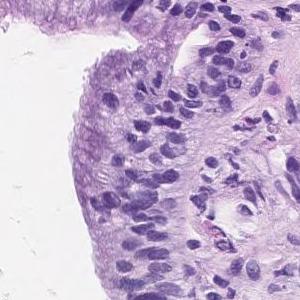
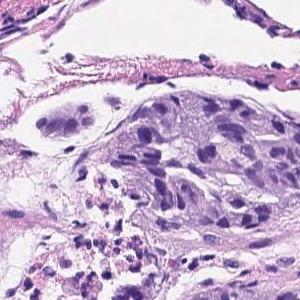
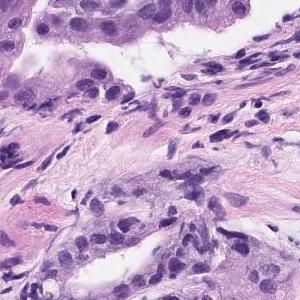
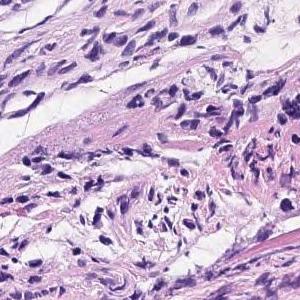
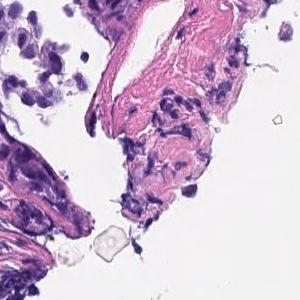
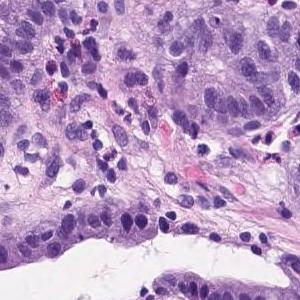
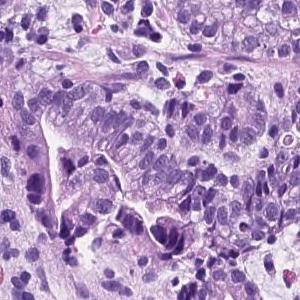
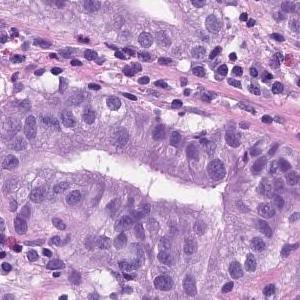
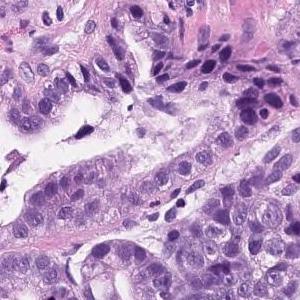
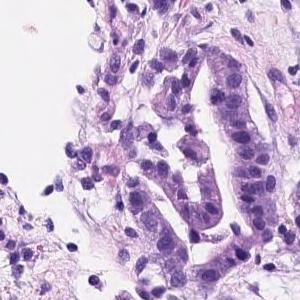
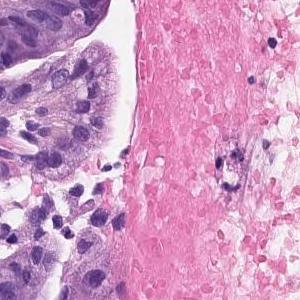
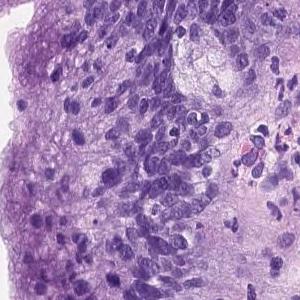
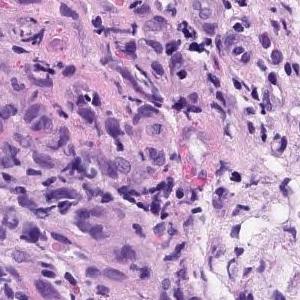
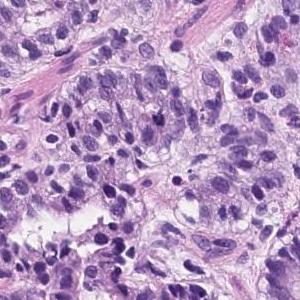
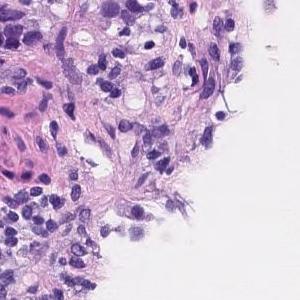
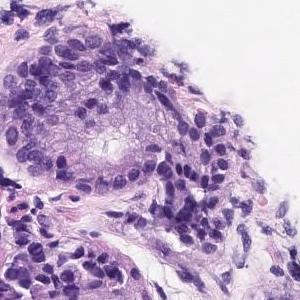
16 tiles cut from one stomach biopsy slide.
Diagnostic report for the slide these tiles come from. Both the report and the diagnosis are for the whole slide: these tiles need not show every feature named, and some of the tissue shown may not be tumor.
Tumor tissue consisting of medium-sized and irregular ducts is observed infiltrating in the superficial epithelium. Tumor cells are highly columnar, with nuclei aligned basolaterally and polarized. Well differentiated tubular adenocarcinoma.
